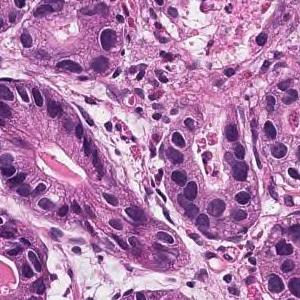
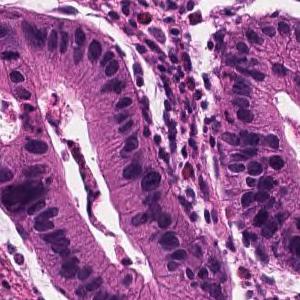
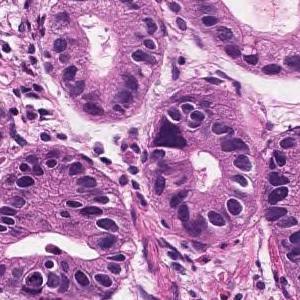
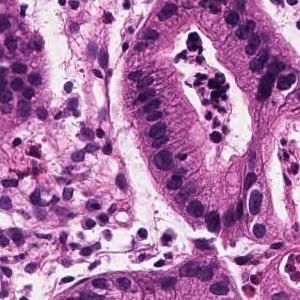
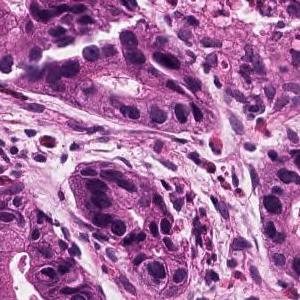
5 image tiles from a single gastric biopsy slide; each 300 × 300 pixels; ×20; hematoxylin and eosin stain.
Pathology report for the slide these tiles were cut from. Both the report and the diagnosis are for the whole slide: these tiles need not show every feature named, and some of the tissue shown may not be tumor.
Tumor tissue in which medium to small irregular ducts infiltrate and proliferate in the submucosa can be seen in the epithelium. Well differentiated tubular adenocarcinoma
